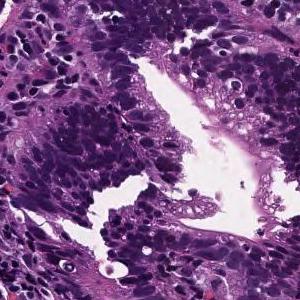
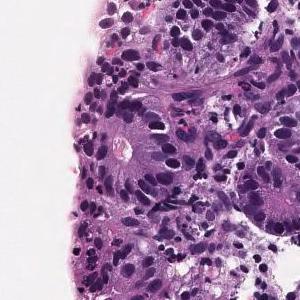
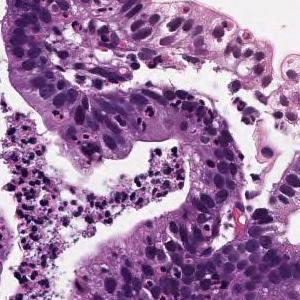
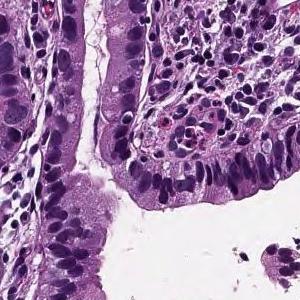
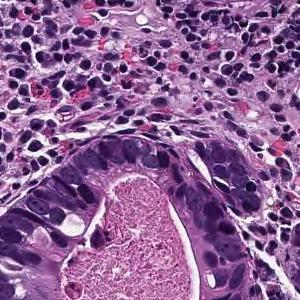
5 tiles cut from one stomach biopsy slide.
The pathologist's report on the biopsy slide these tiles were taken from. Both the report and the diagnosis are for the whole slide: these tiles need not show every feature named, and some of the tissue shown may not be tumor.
From the superficial epithelium to the muscularis mucosae, tumor tissue consisting of medium-sized and irregular glandular ducts infiltrating is observed. Well differentiated tubular adenocarcinoma
